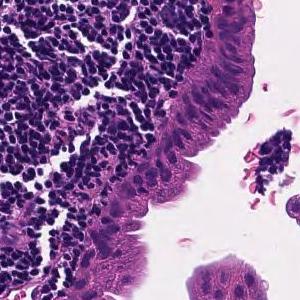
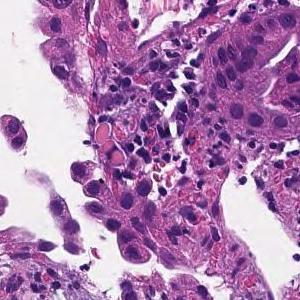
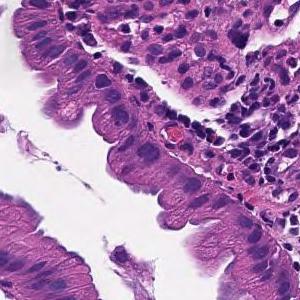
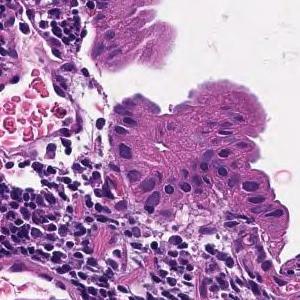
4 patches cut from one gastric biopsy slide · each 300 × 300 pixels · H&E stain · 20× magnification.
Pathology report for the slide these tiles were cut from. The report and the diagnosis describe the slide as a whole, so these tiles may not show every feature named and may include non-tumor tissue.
On the superficial epithelium, tumor tissue that infiltrates by forming medium-sized papillary or small irregular ducts is observed. Papillary adenocarcinoma
